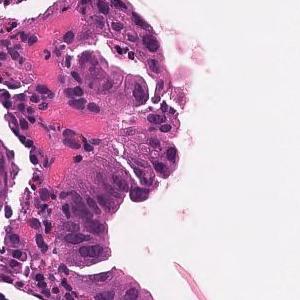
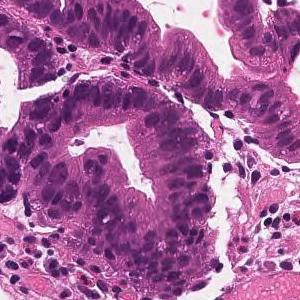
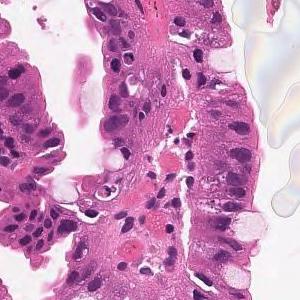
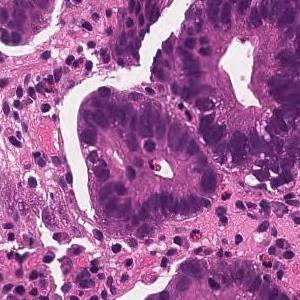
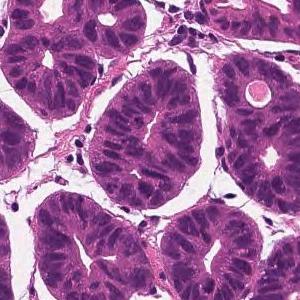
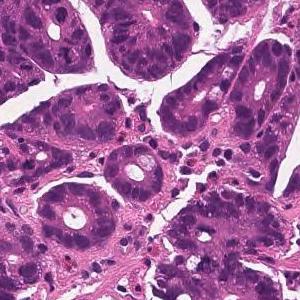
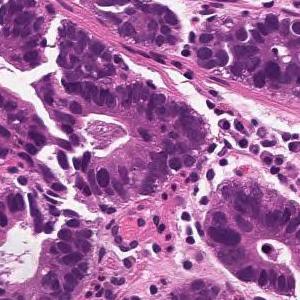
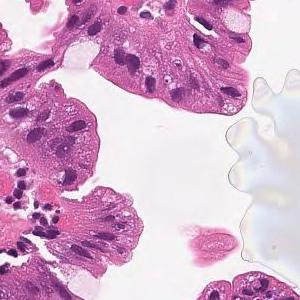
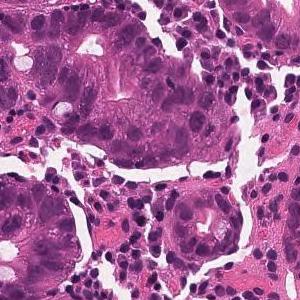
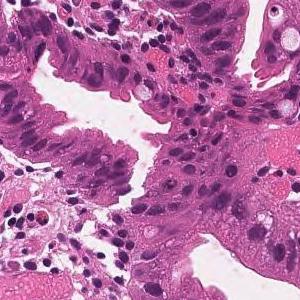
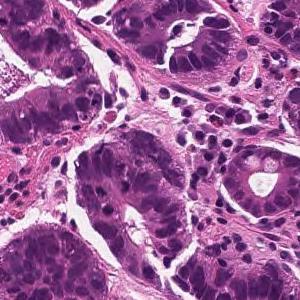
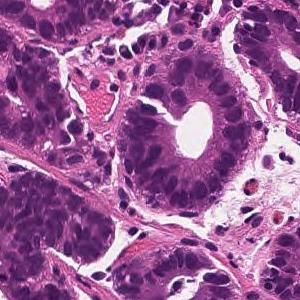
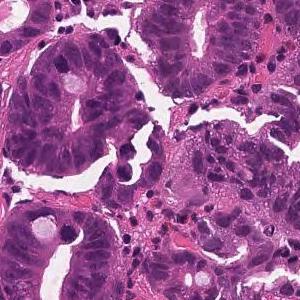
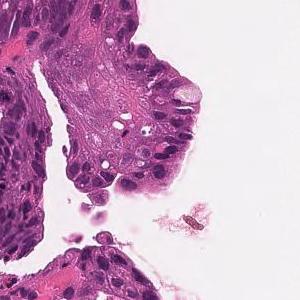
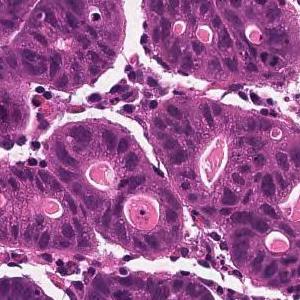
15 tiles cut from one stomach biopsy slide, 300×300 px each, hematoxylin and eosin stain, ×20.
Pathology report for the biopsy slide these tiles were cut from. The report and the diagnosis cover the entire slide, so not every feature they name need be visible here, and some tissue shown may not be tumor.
From the superficial epithelium to the muscularis mucosae, tumor tissue consisting of medium-sized and irregular glandular ducts infiltrating is observed. Well differentiated tubular adenocarcinoma
